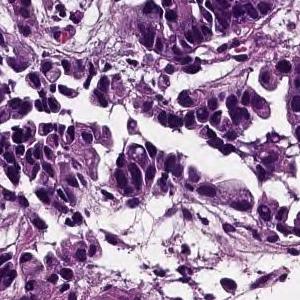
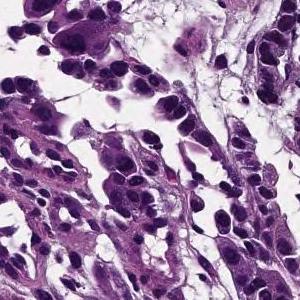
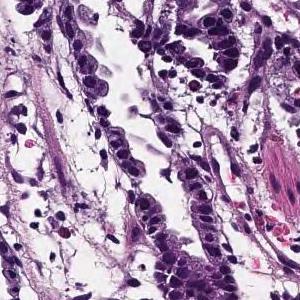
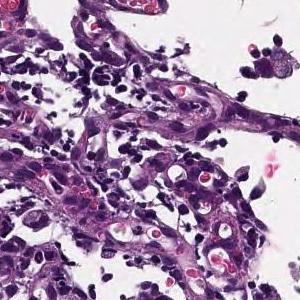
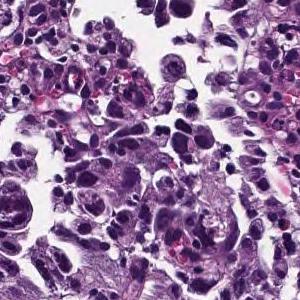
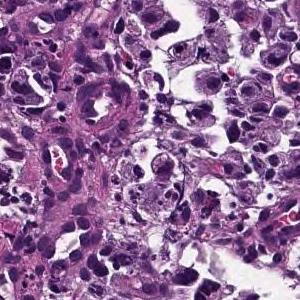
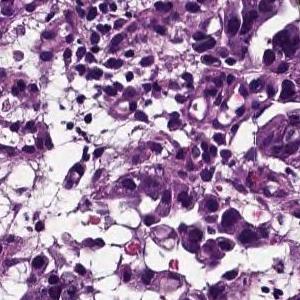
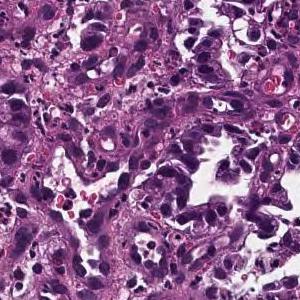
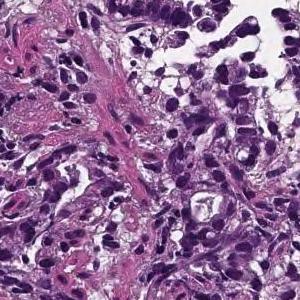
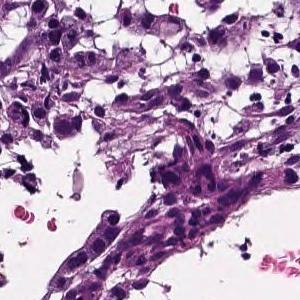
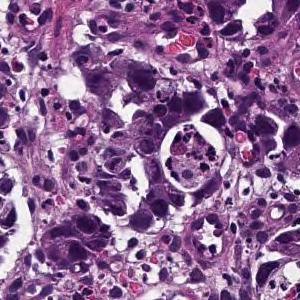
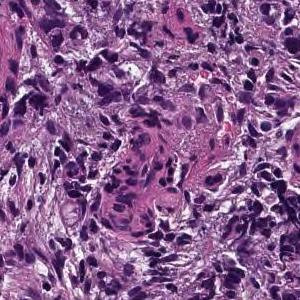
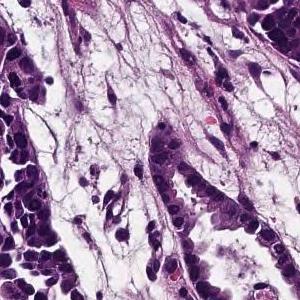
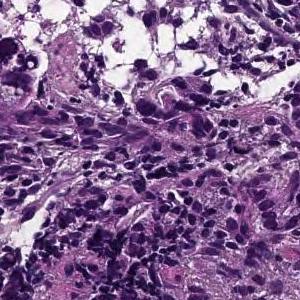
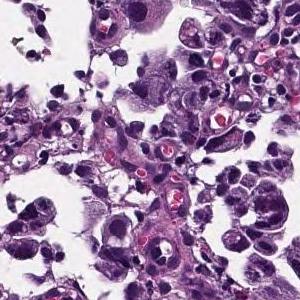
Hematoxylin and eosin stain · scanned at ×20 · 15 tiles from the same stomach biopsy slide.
Pathology report for the biopsy slide these tiles were cut from. The report describes the whole slide, diagnosis included: not every finding it names need appear in these tiles, which may also show non-tumor tissue.
Medium to small, irregular glandular ducts are formed in the superficial epithelium, and in some cases, the glandular ducts are fused to show solid alveolar lesions and infiltrating tumor tissue is observed. Moderately to poorly differentiated adenocarcinoma.
